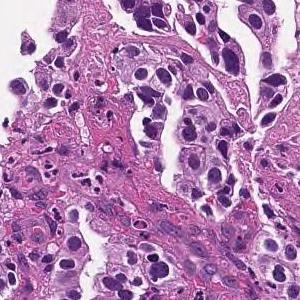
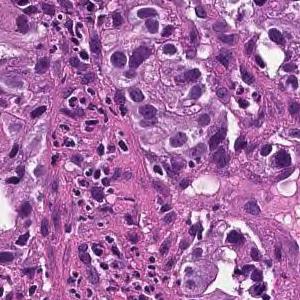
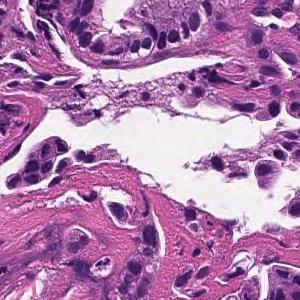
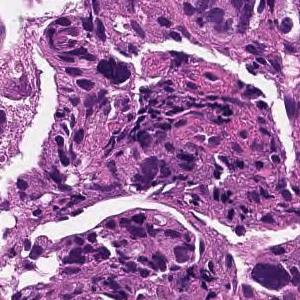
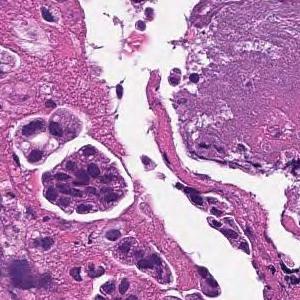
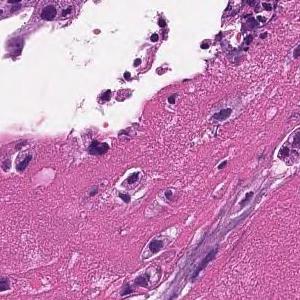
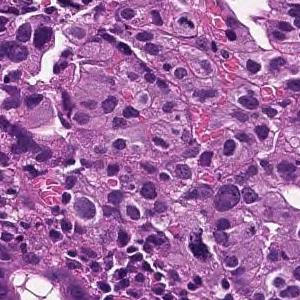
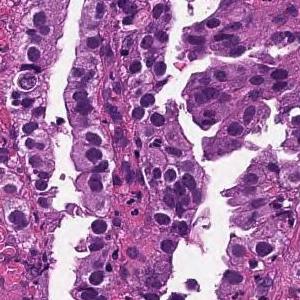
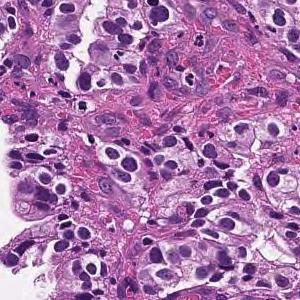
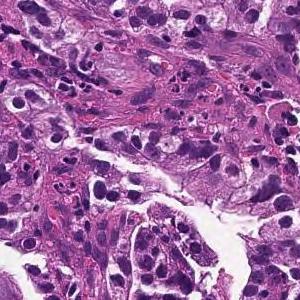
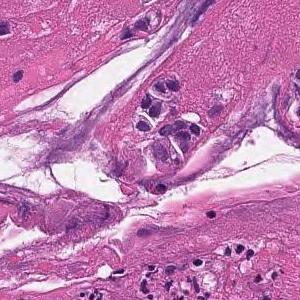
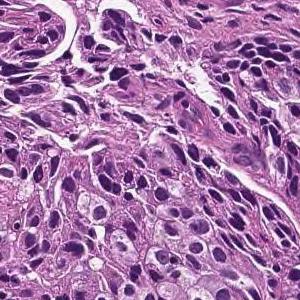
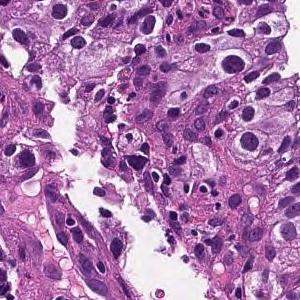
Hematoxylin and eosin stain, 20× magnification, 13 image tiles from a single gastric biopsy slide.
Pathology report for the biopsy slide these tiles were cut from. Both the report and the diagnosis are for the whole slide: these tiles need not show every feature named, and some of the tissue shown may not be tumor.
Medium to small, irregular glandular ducts are formed in the superficial epithelium, and in some cases, the glandular ducts are fused to show solid alveolar lesions and infiltrating tumor tissue is observed. Moderately to poorly differentiated adenocarcinoma.
